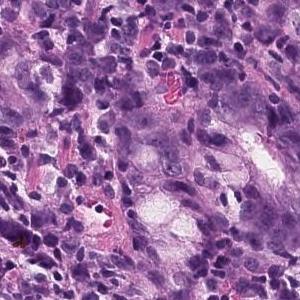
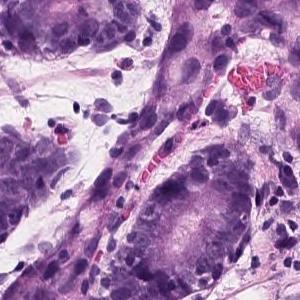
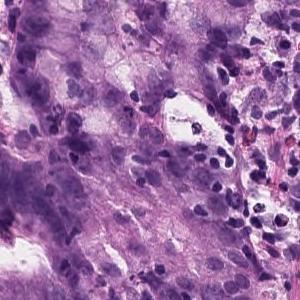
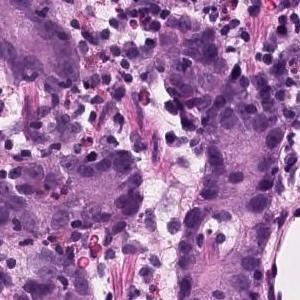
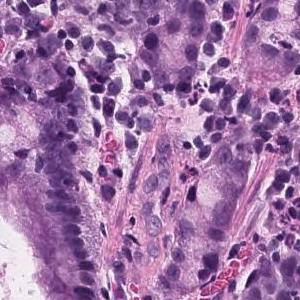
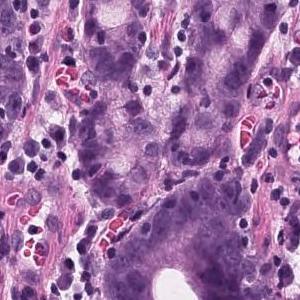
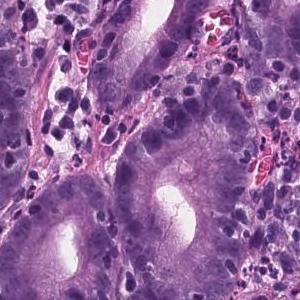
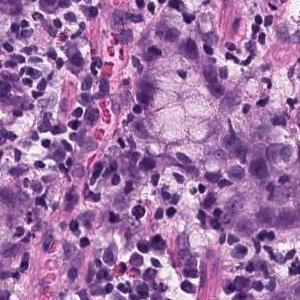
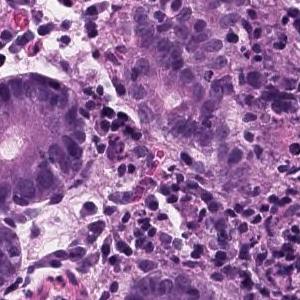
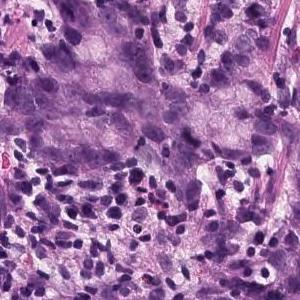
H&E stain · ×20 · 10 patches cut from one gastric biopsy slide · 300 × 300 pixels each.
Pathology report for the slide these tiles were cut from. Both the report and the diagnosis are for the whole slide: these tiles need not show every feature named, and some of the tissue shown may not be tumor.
In the superficial epithelium, tumor tissue that invades by forming medium-sized to small, irregular ducts is observed. Moderately differentiated adenocarcinoma.
Classified as moderately differentiated tubular adenocarcinoma.
